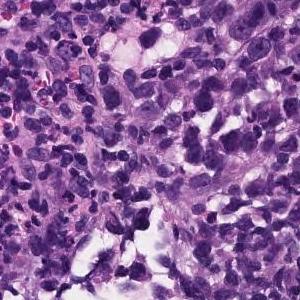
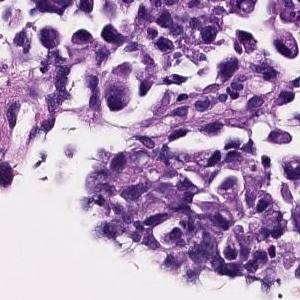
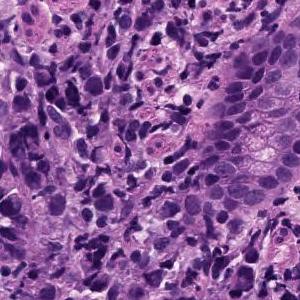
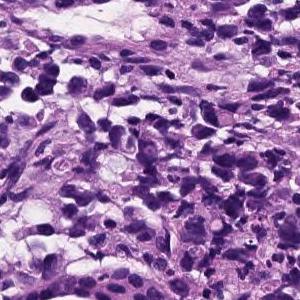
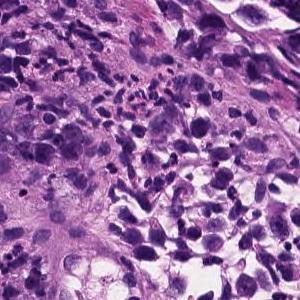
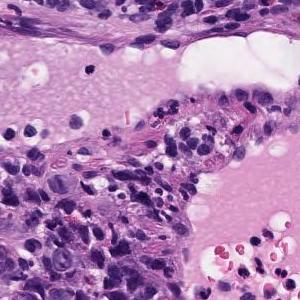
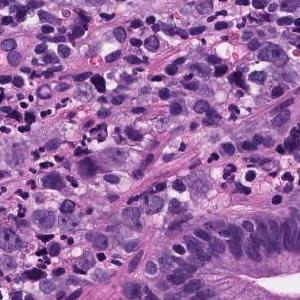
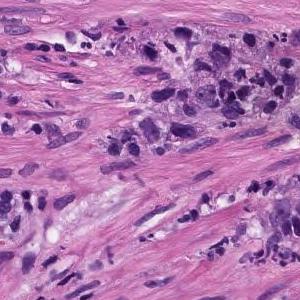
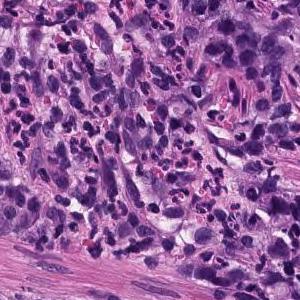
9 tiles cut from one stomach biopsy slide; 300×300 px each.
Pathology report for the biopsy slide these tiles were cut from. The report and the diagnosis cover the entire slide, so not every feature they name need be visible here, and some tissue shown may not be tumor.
Poorly differentiated, solid adenocarcinoma (poorly differentiated adenocarcinoma, solid type) with tumor tissue diffusely infiltrated with atypical epithelial cells
Subtype: Poorly differentiated adenocarcinoma, solid type, a category of the Japanese Classification of Gastric Carcinoma; in the WHO 2019 classification it is tubular adenocarcinoma, poorly differentiated.
